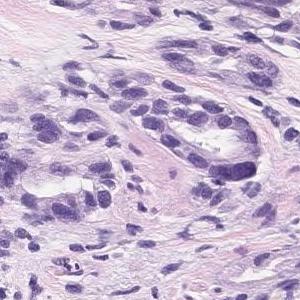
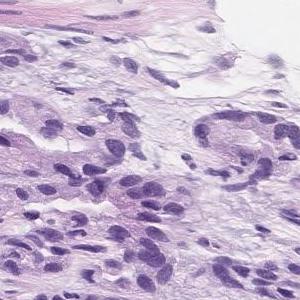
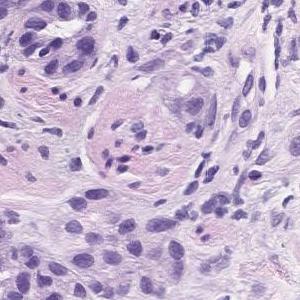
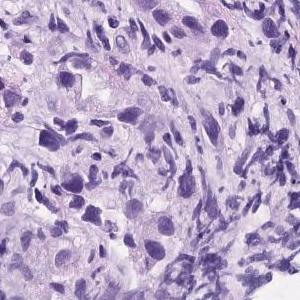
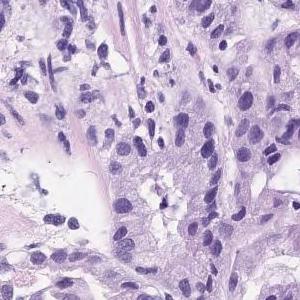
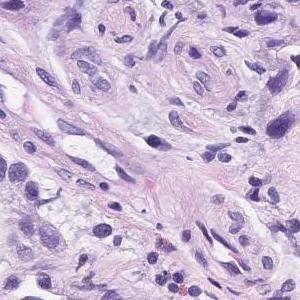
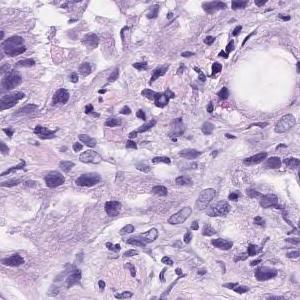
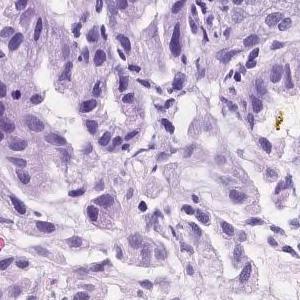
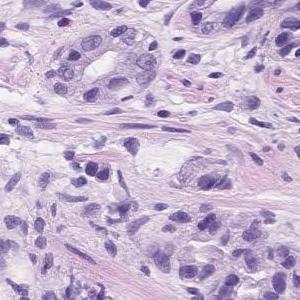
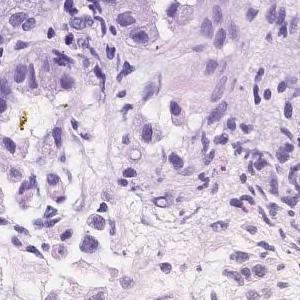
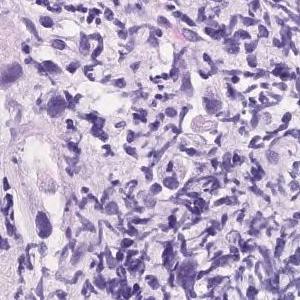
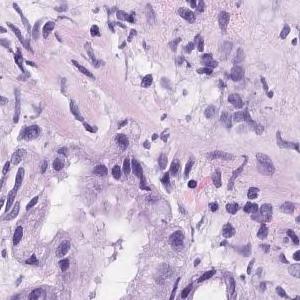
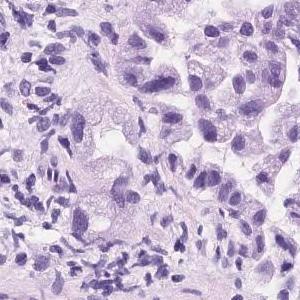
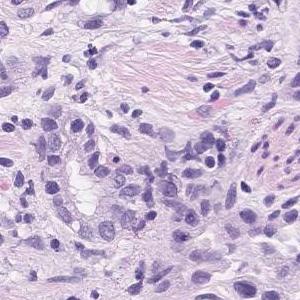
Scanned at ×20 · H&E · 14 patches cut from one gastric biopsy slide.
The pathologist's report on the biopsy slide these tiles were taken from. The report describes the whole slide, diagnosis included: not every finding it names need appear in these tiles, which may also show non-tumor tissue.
Atypical epithelial cells with some large atypical nuclei growing in the form of agglomerates or cords from tubular glands is observed. moderately differentiated tubular adenocarcinoma
